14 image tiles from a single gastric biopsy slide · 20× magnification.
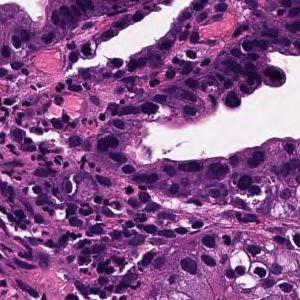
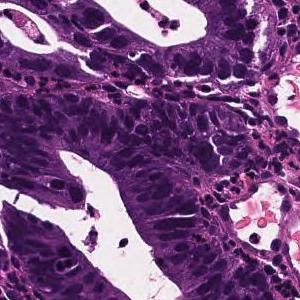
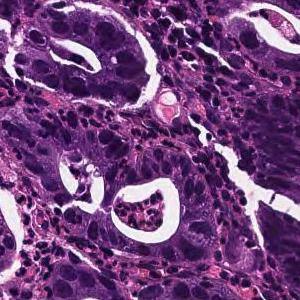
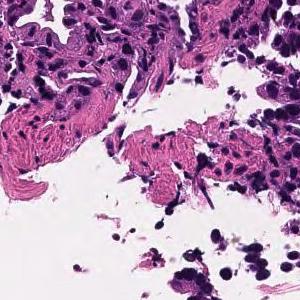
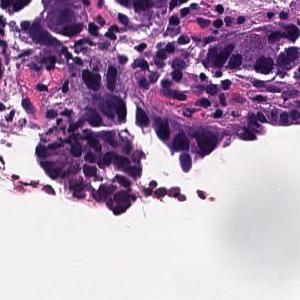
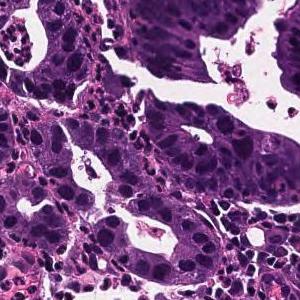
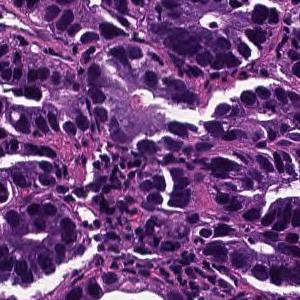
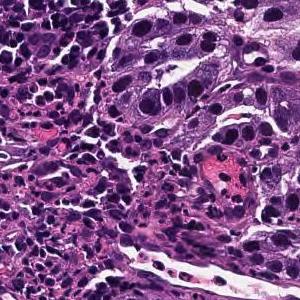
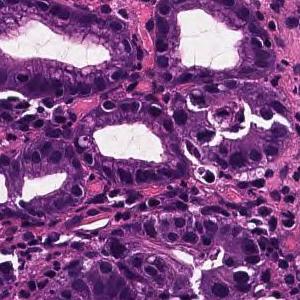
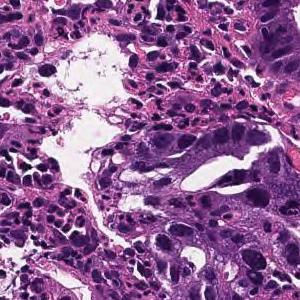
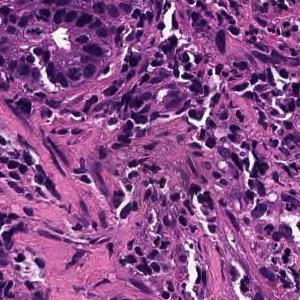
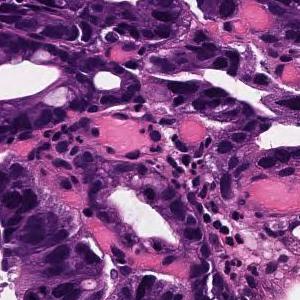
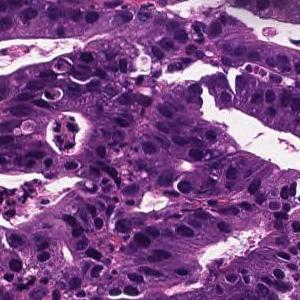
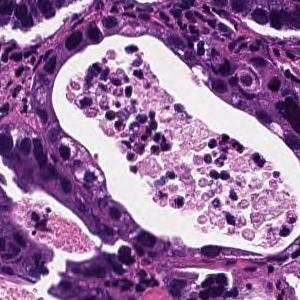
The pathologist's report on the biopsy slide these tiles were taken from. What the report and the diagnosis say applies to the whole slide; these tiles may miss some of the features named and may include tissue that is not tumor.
From the superficial epithelium to the muscularis mucosae, tumor tissue consisting of medium-sized and irregular glandular ducts infiltrating is observed. Well differentiated tubular adenocarcinoma
